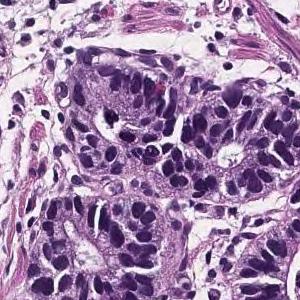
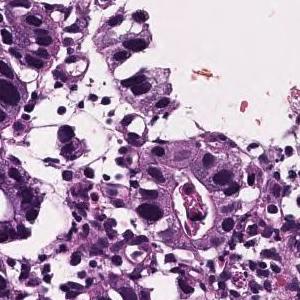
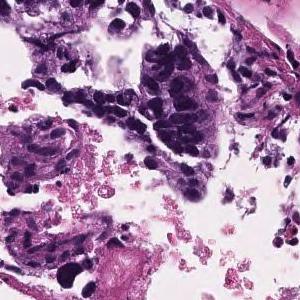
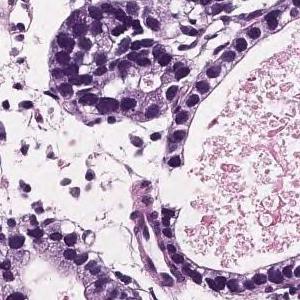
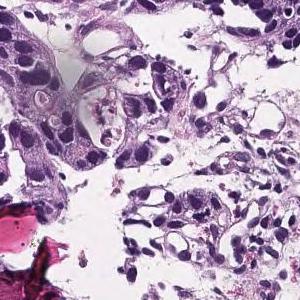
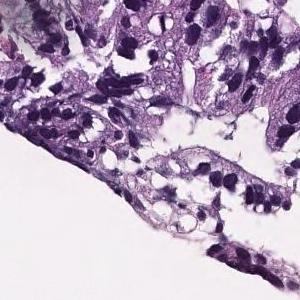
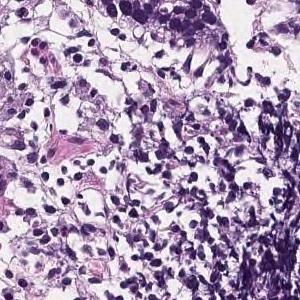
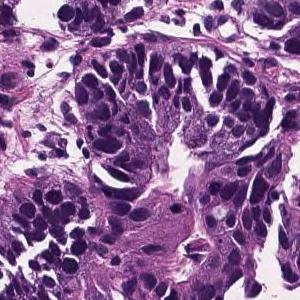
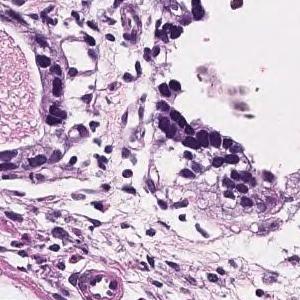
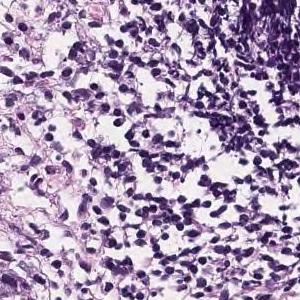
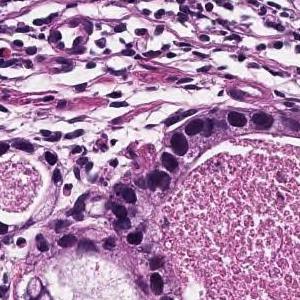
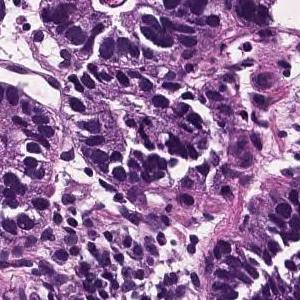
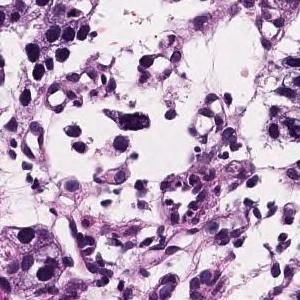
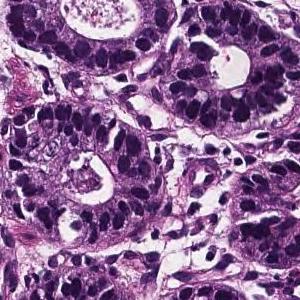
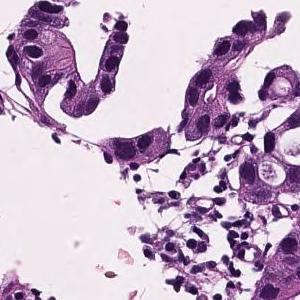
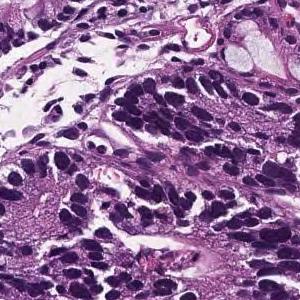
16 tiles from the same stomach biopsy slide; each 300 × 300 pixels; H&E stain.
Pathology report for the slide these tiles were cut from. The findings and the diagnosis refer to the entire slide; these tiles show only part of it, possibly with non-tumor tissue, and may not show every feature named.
In the superficial epithelium, tumor tissue that invades by forming medium-sized to small, irregular ducts is observed. Well differentiated tubular adenocarcinoma.
